13 tiles cut from one stomach biopsy slide, each 300 × 300 pixels, H&E stain, ×20.
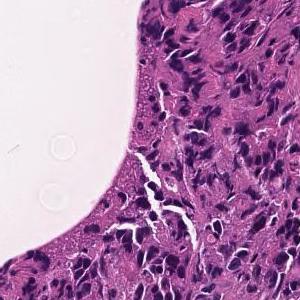
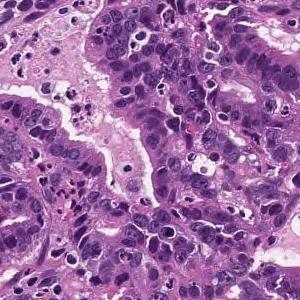
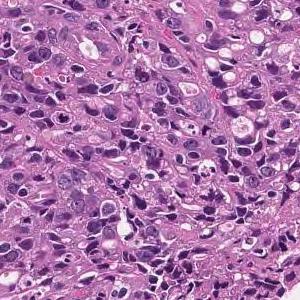
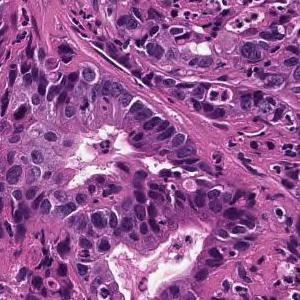
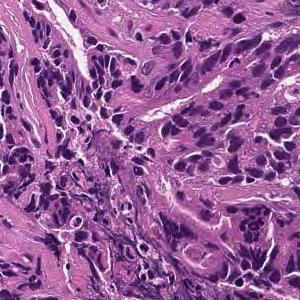
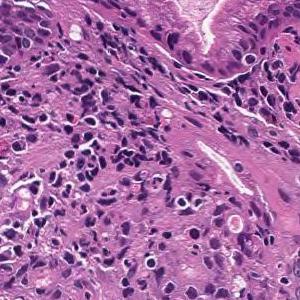
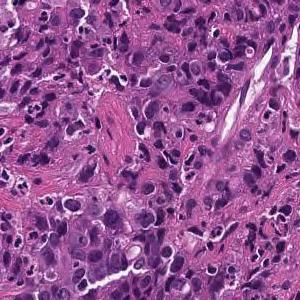
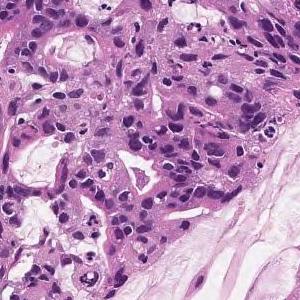
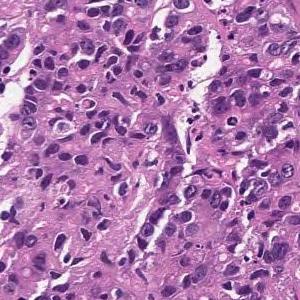
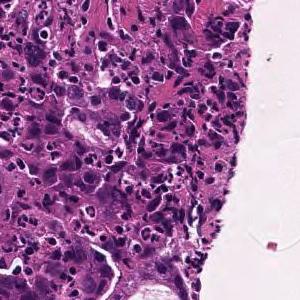
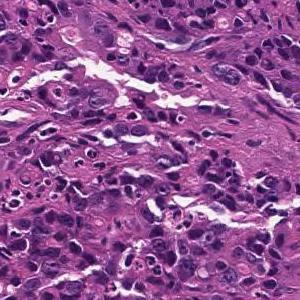
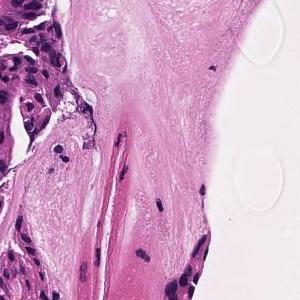
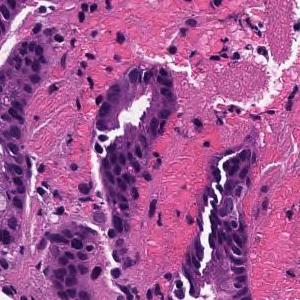
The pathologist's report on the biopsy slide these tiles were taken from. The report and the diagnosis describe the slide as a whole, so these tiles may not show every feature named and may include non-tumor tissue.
In the superficial epithelium, tumor tissue that invades by forming medium-sized to small, irregular ducts is observed. moderately differentiated tubular adenocarcinoma.
